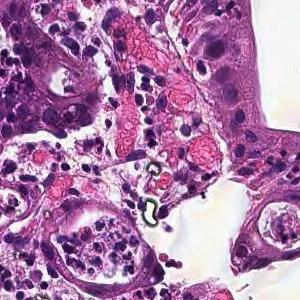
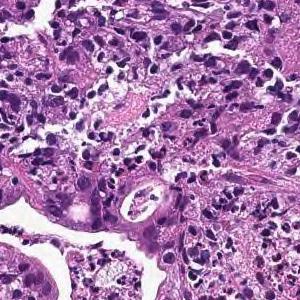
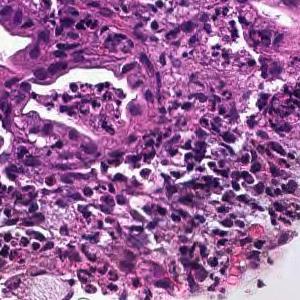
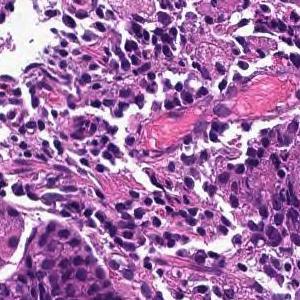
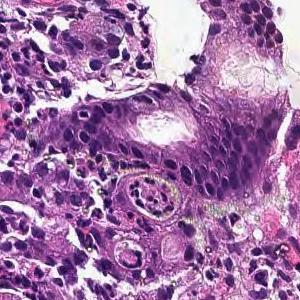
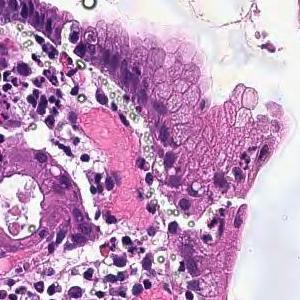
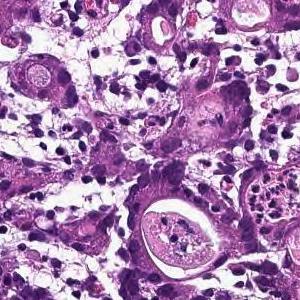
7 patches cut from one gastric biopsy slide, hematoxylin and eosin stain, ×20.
Pathology report for the biopsy slide these tiles were cut from. The report and the diagnosis describe the slide as a whole, so these tiles may not show every feature named and may include non-tumor tissue.
In the superficial epithelium, tumor tissue that invades by forming medium-sized to small, irregular ducts is observed. moderately differentiated tubular adenocarcinoma.
